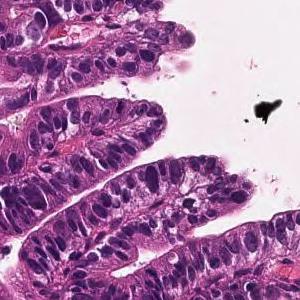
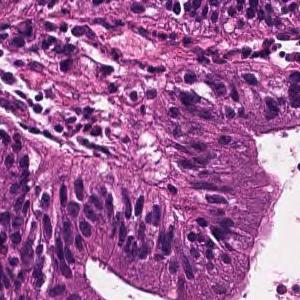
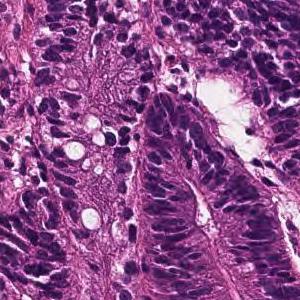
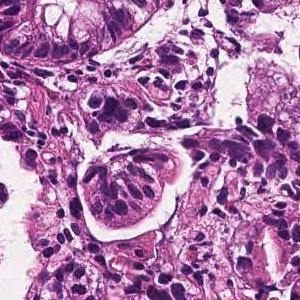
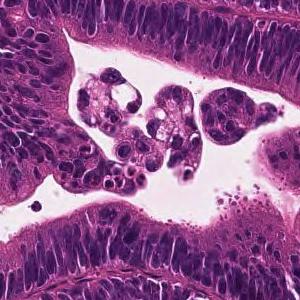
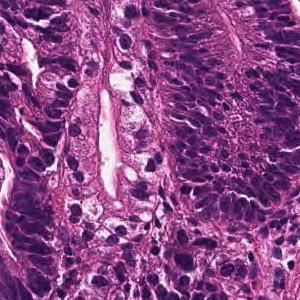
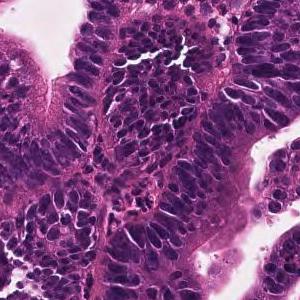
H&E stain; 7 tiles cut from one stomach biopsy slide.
Pathology report for the biopsy slide these tiles were cut from. The report describes the whole slide, diagnosis included: not every finding it names need appear in these tiles, which may also show non-tumor tissue.
A large irregular tubular structure is exhibited in the epithelium, and tumor tissue that partially fuses and infiltrates and proliferates is observed. Large columnar tumor cells exhibit enlarged nucleus, hyperchromatism, and mitotic figures. Well differentiated tubular adenocarcinoma
